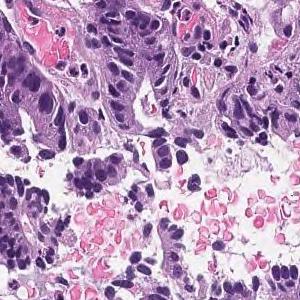
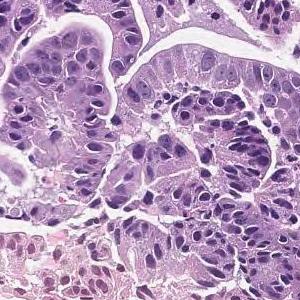
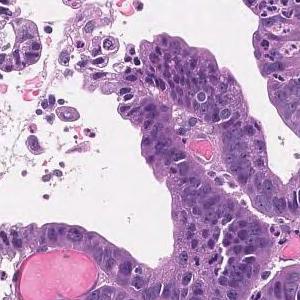
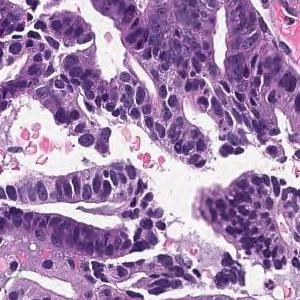
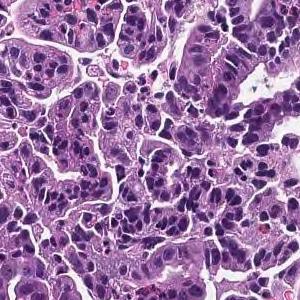
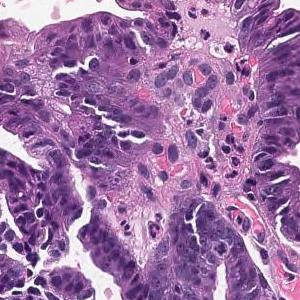
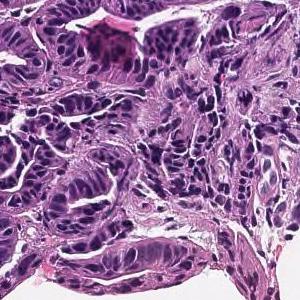
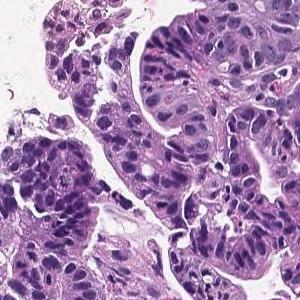
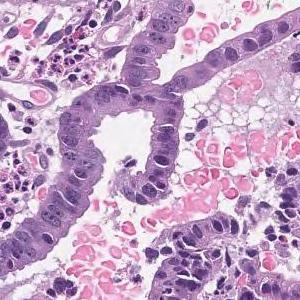
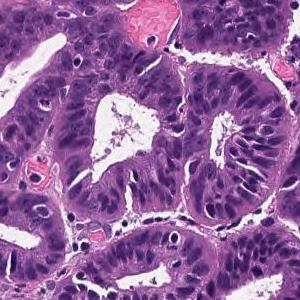
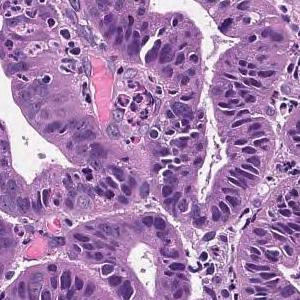
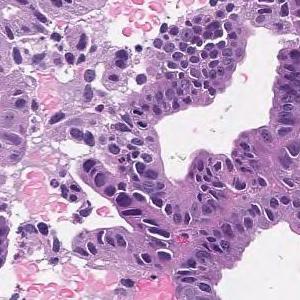
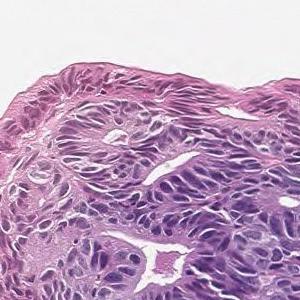
H&E stain, scanned at ×20, 13 tiles from the same stomach biopsy slide, 300×300 px each.
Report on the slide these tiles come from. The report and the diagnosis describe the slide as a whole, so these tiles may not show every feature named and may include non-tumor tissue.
Tumor cells are large, highly columnar, large club-shaped nuclei, and are associated with chromatin aggregation. Papillary adenocarcinoma.
